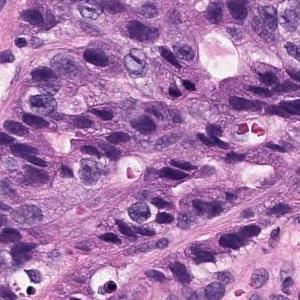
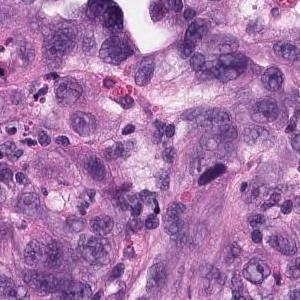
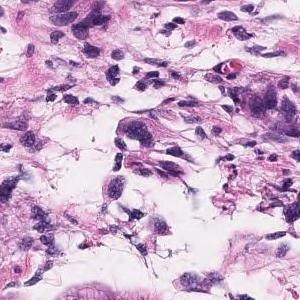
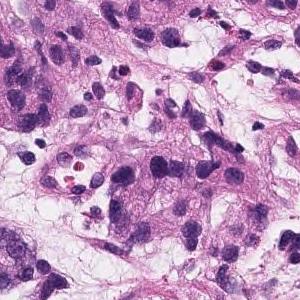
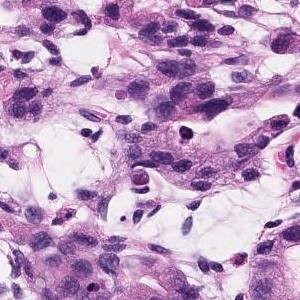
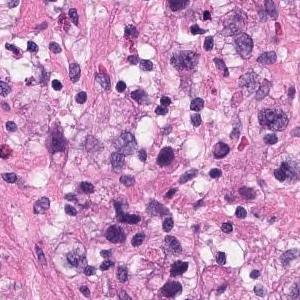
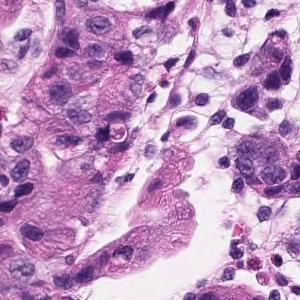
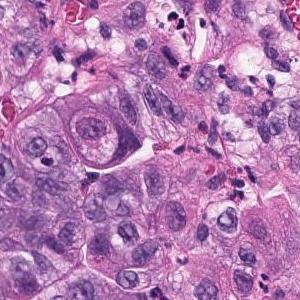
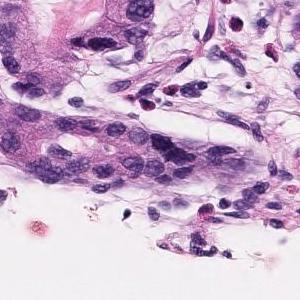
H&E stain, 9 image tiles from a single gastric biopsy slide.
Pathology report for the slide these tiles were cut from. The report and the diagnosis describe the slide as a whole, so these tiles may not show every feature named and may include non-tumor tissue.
Atypical l cells with atypical nuclei forming diffuse or small irregular atypical ducts and growing. Moderately to poorly differentiated adenocarcinoma (poorly differentiated adenocarcinoma, solid type, moderately differentiated tubular adenocarcinoma)
Subtype: Moderately to poorly differentiated adenocarcinoma.
The term "solid type" comes from the Japanese Classification of Gastric Carcinoma; the WHO 2019 equivalent is tubular adenocarcinoma, poorly differentiated.
